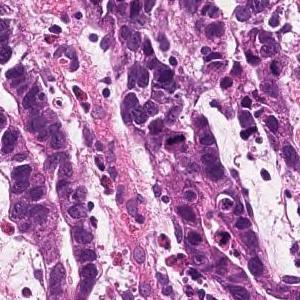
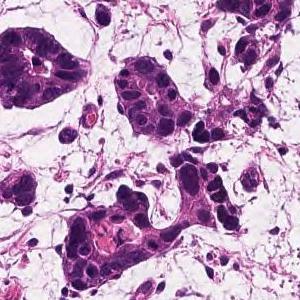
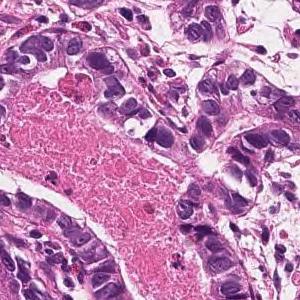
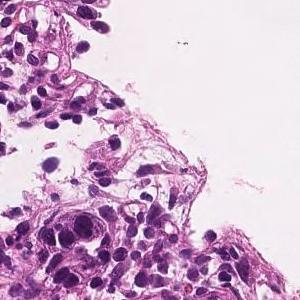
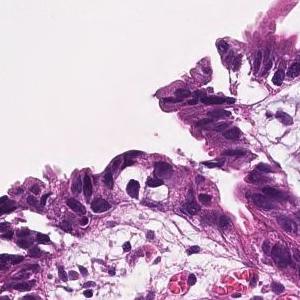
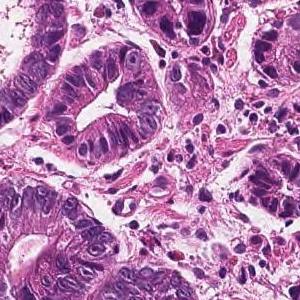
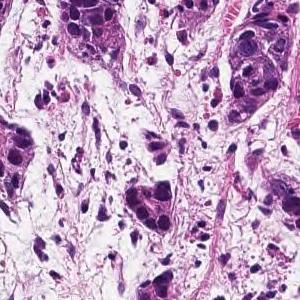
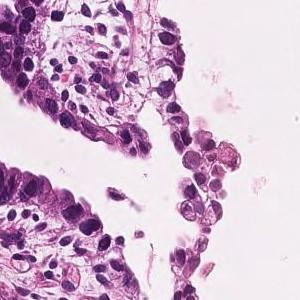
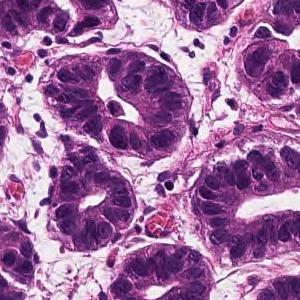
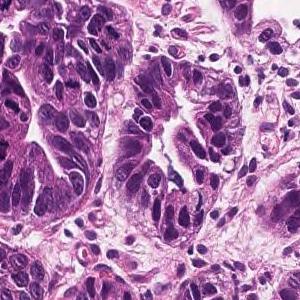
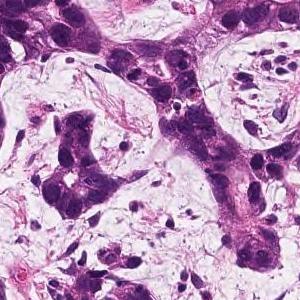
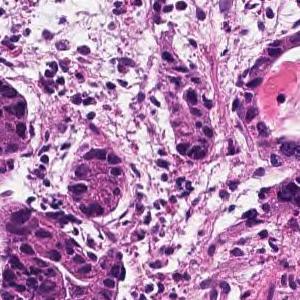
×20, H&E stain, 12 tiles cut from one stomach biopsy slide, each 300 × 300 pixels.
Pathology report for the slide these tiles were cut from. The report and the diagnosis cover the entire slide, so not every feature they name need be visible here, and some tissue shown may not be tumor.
In the superficial epithelium, tumor tissue that invades by forming medium-sized to small, irregular ducts is observed. Well differentiated tubular adenocarcinoma.
